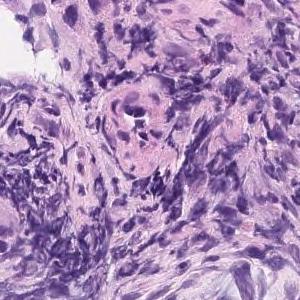
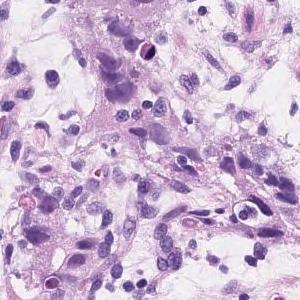
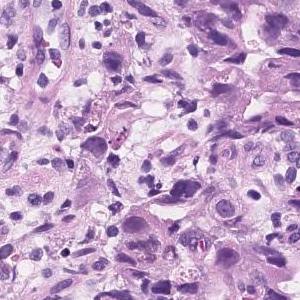
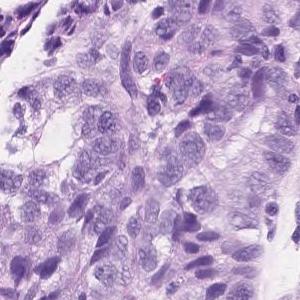
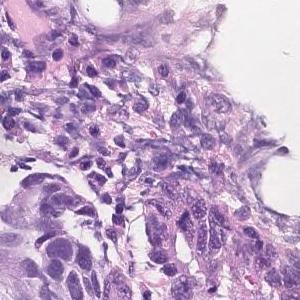
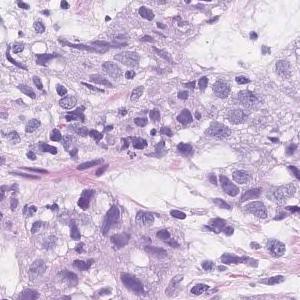
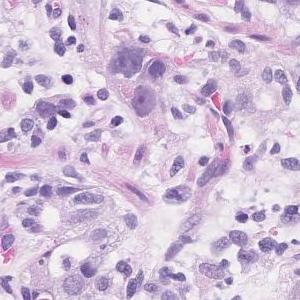
7 patches cut from one gastric biopsy slide · 300×300 px each · H&E stain · 20× magnification.
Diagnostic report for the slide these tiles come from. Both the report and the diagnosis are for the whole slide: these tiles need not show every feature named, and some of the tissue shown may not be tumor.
Atypical epithelial cells infiltrating and proliferating diffusely or while forming vesicles is observed. Poorly differentiated adenocarcinoma (poorly differentiated adenocarcinoma, solid type moderately differentiated tubular adenocarcinoma)
Dataset label: poorly differentiated adenocarcinoma, solid type (Japanese Classification of Gastric Carcinoma). The WHO 2019 equivalent is tubular adenocarcinoma, poorly differentiated.
